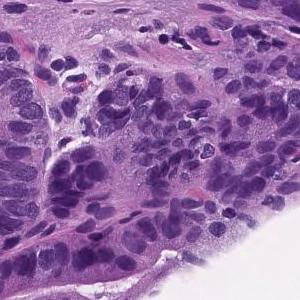
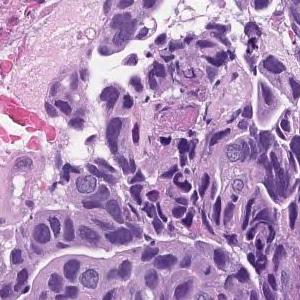
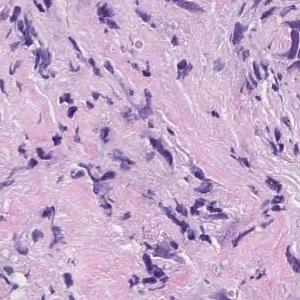
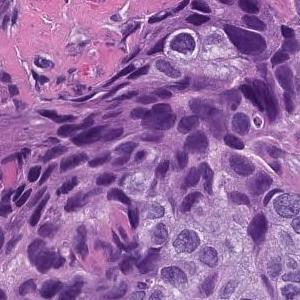
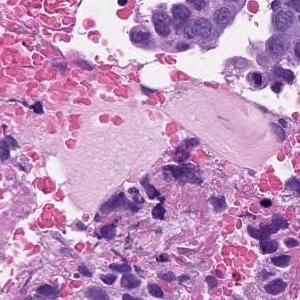
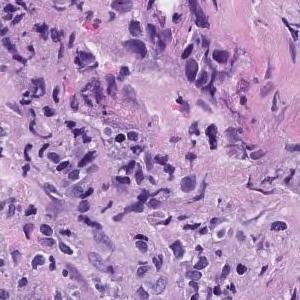
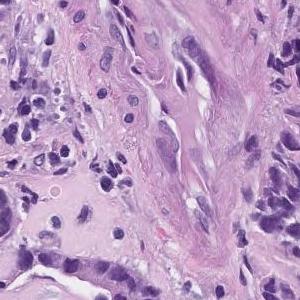
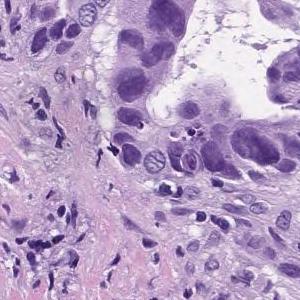
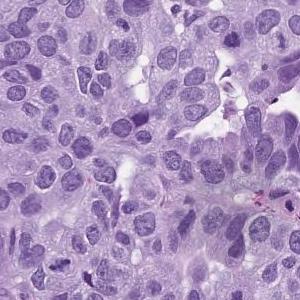
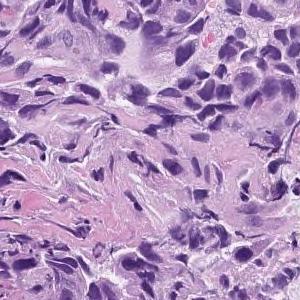
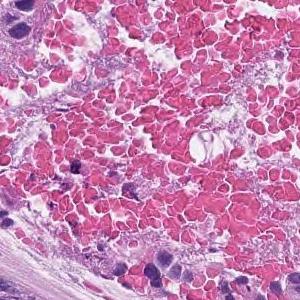
Scanned at ×20, H&E stain, 11 tiles from the same stomach biopsy slide, 300 × 300 pixels each.
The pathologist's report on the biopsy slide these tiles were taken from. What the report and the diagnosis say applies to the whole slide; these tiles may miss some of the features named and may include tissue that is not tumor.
In the superficial epithelium, tumor tissue that invades by forming medium-sized to small, irregular ducts is observed. moderately differentiated tubular adenocarcinoma.
